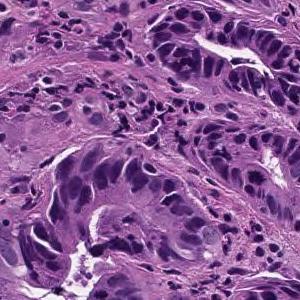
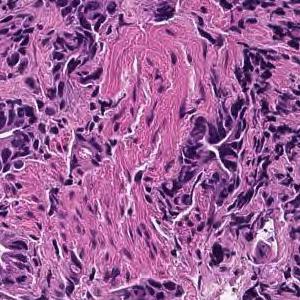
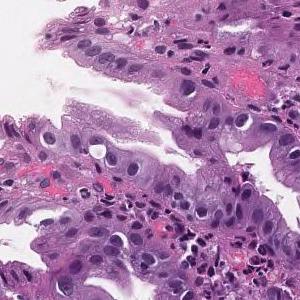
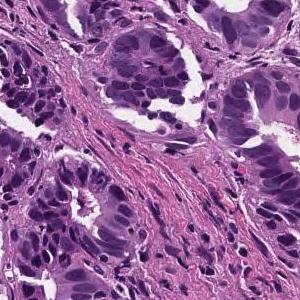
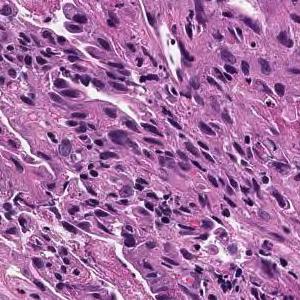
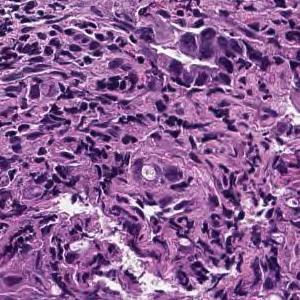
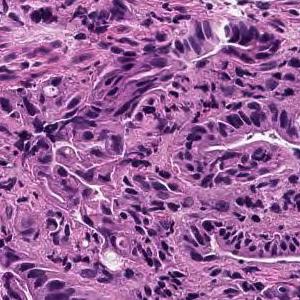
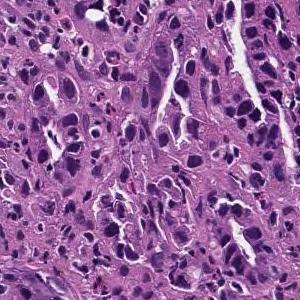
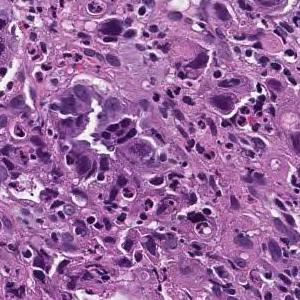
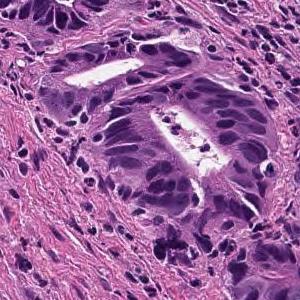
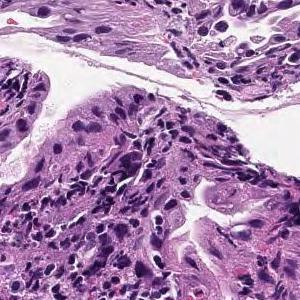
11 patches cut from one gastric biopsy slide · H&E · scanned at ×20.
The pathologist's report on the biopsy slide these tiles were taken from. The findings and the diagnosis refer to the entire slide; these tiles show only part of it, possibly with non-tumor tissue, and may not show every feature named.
On the superficial epithelium, tumor tissue consisting of large, irregular glandular ducts partially fused and infiltrated is observed. Well to moderately differentiated tubular adenocarcinoma (well differentiated tubular adenocarcinoma, moderately differentiated tubular adenocarcinoma)
Tumor subtype: well to moderately differentiated tubular adenocarcinoma.
